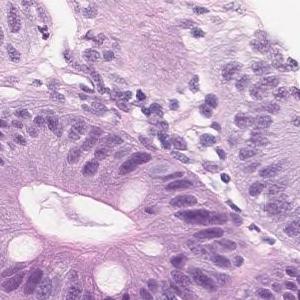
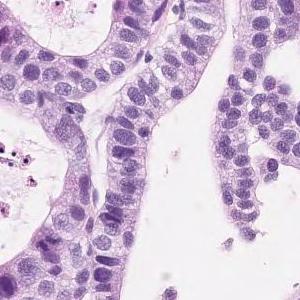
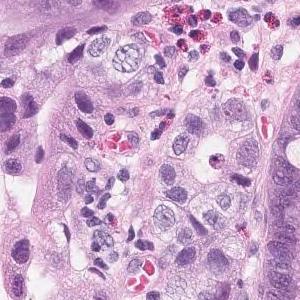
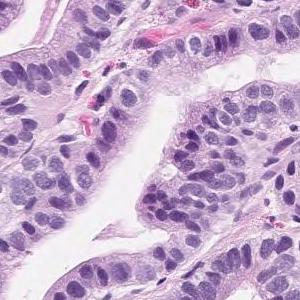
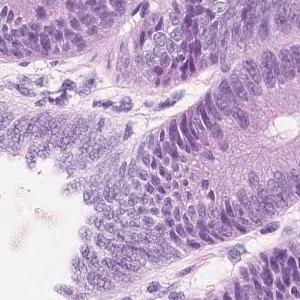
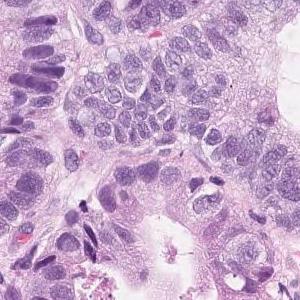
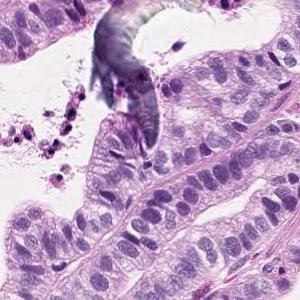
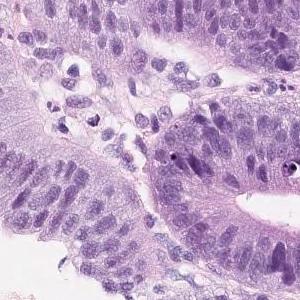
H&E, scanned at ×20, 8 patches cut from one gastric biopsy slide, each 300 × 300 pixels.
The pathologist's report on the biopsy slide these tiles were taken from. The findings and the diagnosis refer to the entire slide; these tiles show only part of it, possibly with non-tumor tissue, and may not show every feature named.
Short atypical epithelium with swelling of the nucleus shows proliferating, large and small irregular ductal structures. Well to moderately differentiated tubular adenocarcinoma (well differentiated tubular adenocarcinoma-moderately differentiated tubular adenocarcinoma)
Classified as well to moderately differentiated tubular adenocarcinoma.
